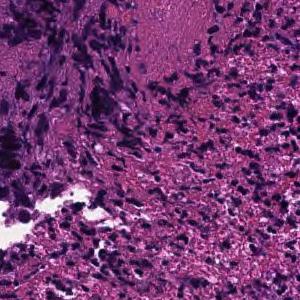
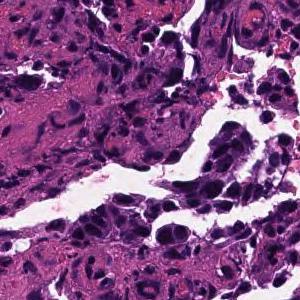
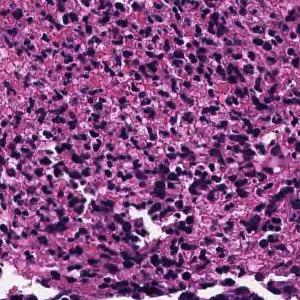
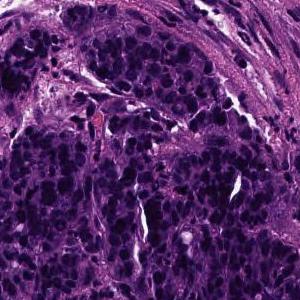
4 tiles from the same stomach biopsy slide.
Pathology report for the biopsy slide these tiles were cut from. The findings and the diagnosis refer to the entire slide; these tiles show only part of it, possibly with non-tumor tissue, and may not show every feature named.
In the superficial epithelium, tumor tissue that invades by forming medium-sized to small, irregular ducts is observed. moderately differentiated tubular adenocarcinoma.
